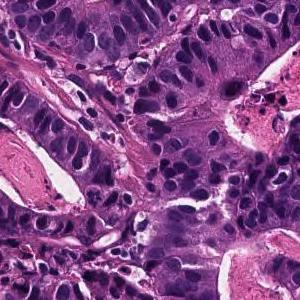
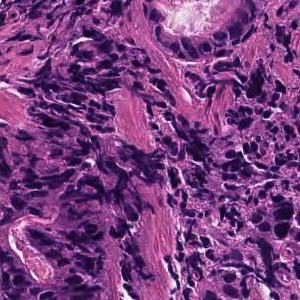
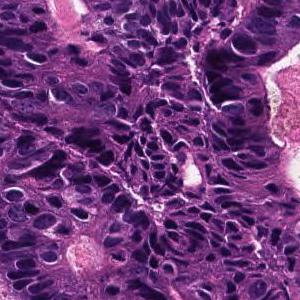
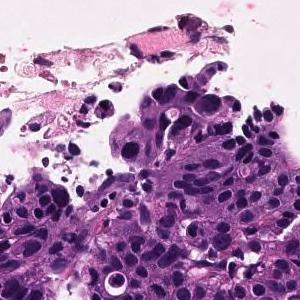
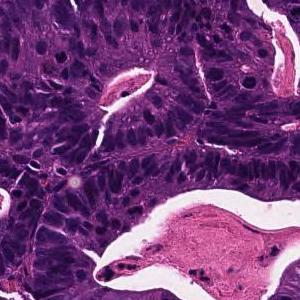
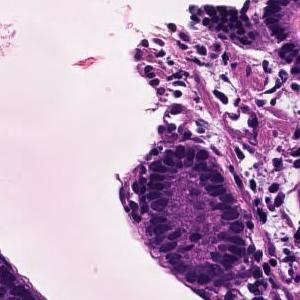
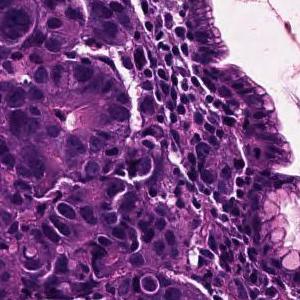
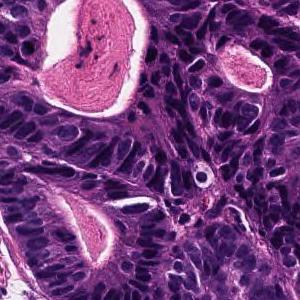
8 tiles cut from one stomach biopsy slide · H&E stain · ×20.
Diagnostic report for the slide these tiles come from. The findings and the diagnosis refer to the entire slide; these tiles show only part of it, possibly with non-tumor tissue, and may not show every feature named.
In the superficial epithelium, tumor tissue that invades by forming medium-sized to small, irregular ducts is observed. moderately differentiated tubular adenocarcinoma.
